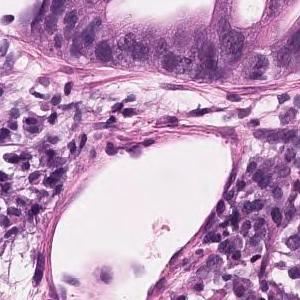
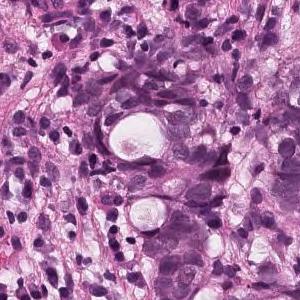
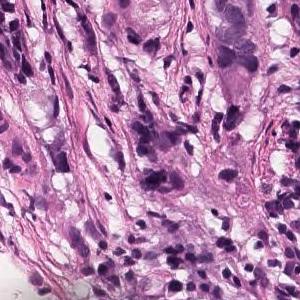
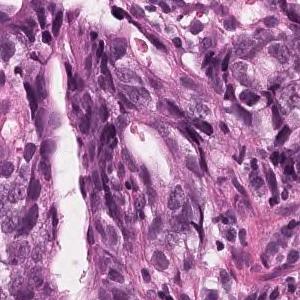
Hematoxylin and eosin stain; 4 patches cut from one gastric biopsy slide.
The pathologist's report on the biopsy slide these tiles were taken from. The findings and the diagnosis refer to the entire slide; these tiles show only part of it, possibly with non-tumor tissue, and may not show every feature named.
On the superficial epithelium, tumor tissue consisting of large, irregular glandular ducts partially fused and infiltrated is observed. Well to moderately differentiated tubular adenocarcinoma (well differentiated tubular adenocarcinoma, moderately differentiated tubular adenocarcinoma)
Classified as well to moderately differentiated tubular adenocarcinoma.
